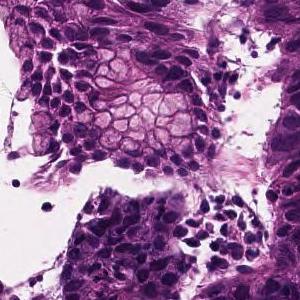
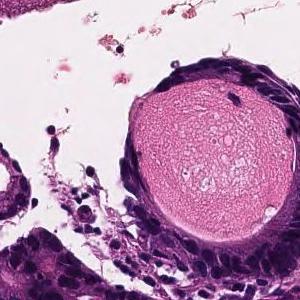
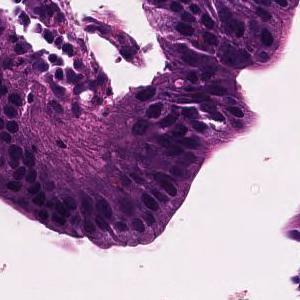
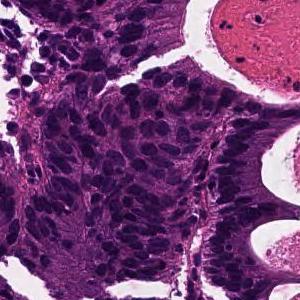
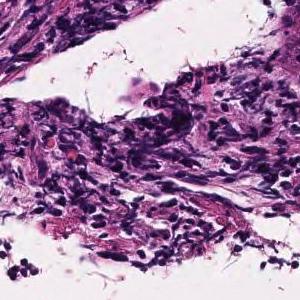
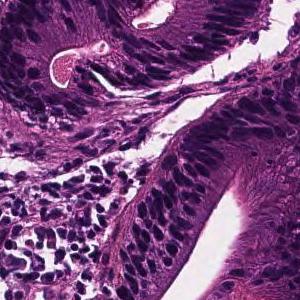
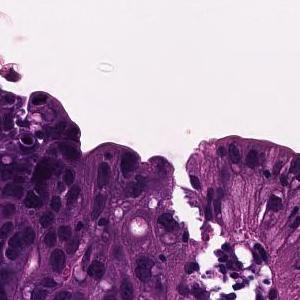
7 patches cut from one gastric biopsy slide · ×20 · H&E stain.
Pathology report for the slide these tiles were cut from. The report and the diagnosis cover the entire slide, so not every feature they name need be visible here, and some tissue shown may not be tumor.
In the superficial epithelium, tumor tissue that invades by forming medium-sized to small, irregular ducts is observed. moderately differentiated tubular adenocarcinoma.
